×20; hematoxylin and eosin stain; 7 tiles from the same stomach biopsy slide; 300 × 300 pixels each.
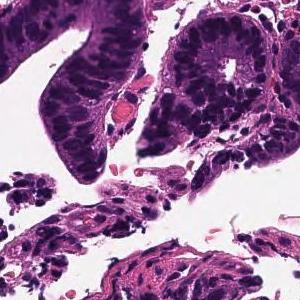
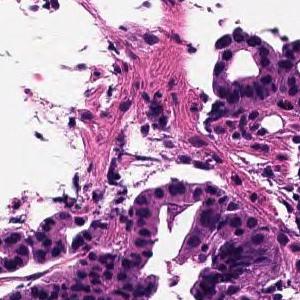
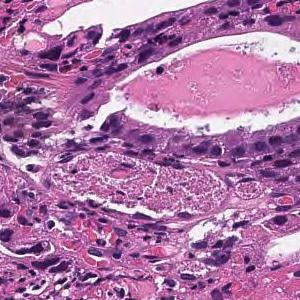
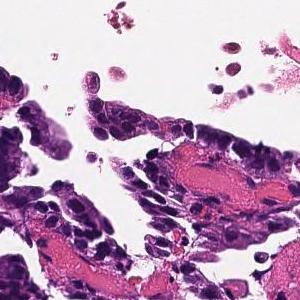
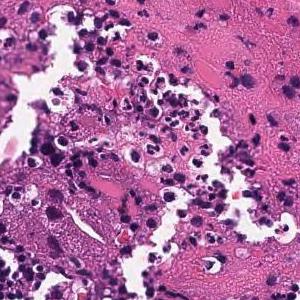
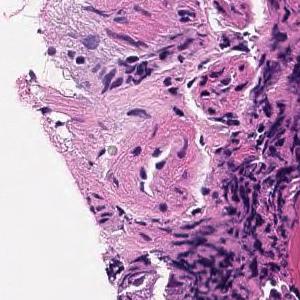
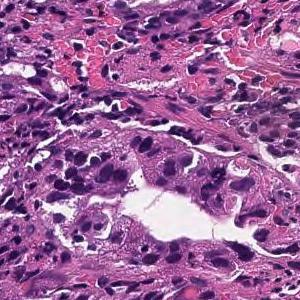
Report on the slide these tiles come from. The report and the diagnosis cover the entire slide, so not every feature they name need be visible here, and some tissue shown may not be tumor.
Tumor cells are large, highly columnar, large club-shaped nuclei, and are associated with chromatin aggregation. Papillary adenocarcinoma.
